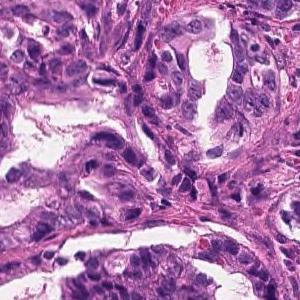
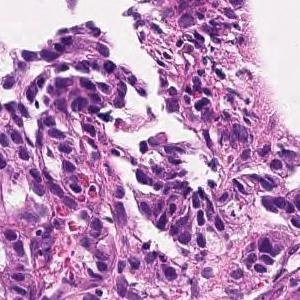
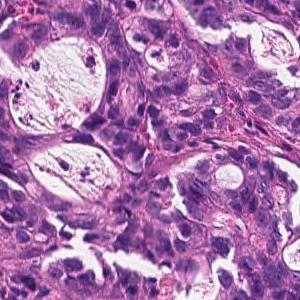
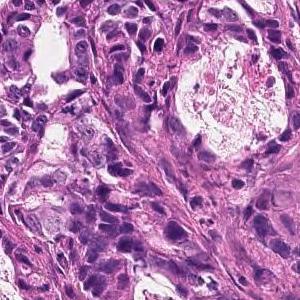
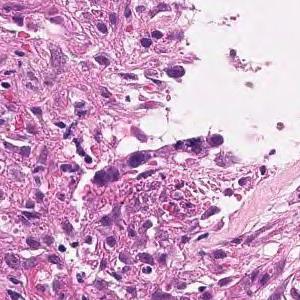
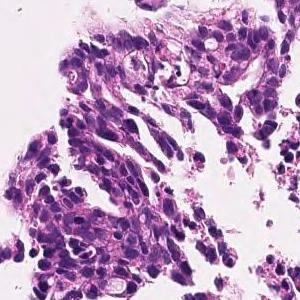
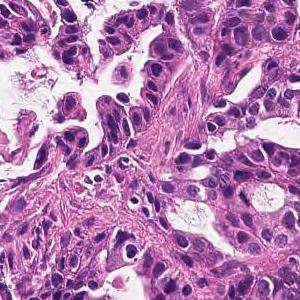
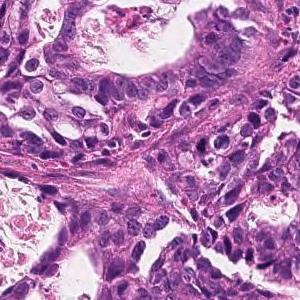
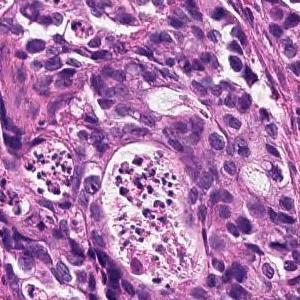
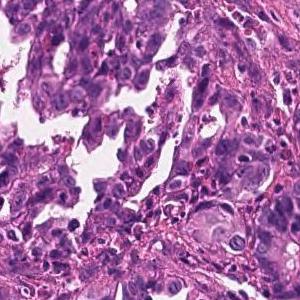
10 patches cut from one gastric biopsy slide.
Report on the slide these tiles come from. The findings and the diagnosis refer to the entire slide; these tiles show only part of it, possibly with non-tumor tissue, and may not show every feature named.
On the superficial epithelium, tumor tissue consisting of images of small to medium-sized and irregular tubules infiltrating with irregular fusion is observed. moderately differentiated tubular adenocarcinoma
